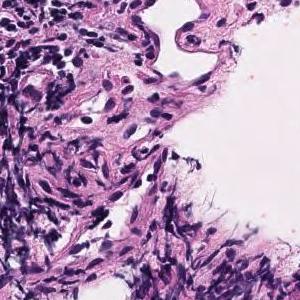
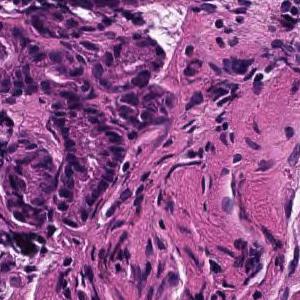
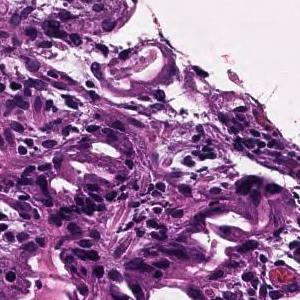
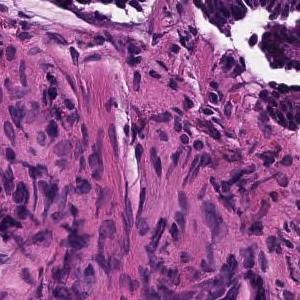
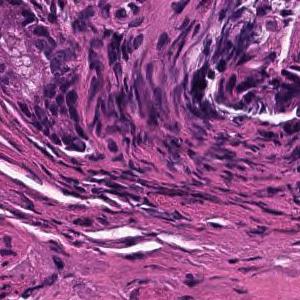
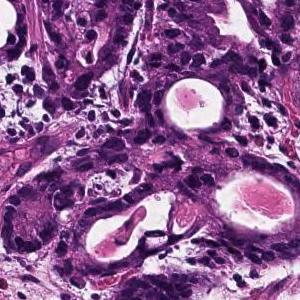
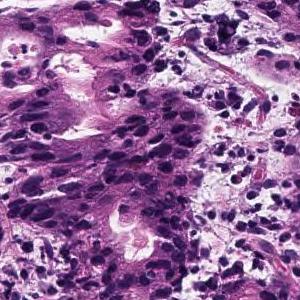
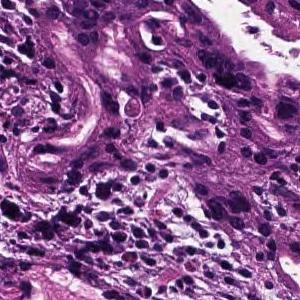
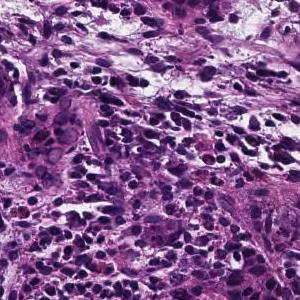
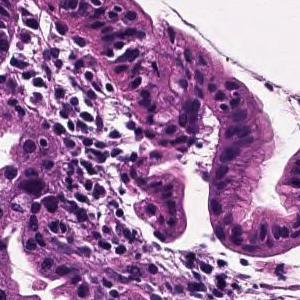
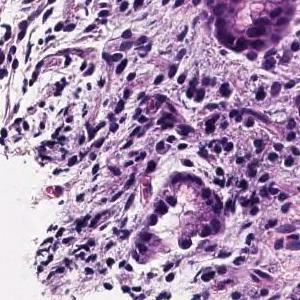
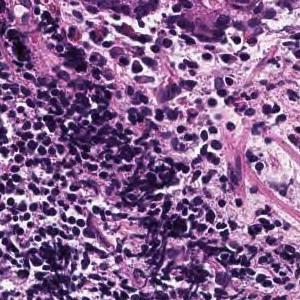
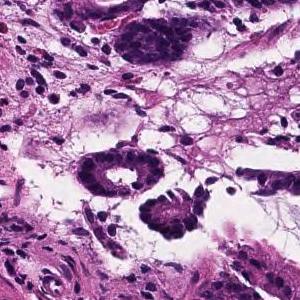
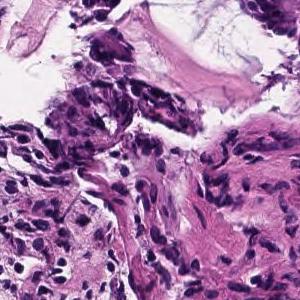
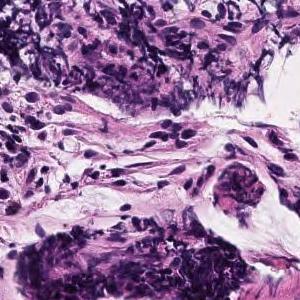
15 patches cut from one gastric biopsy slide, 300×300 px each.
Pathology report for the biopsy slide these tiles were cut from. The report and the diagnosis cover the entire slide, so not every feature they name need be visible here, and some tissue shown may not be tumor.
In the superficial epithelium, tumor tissue infiltrated by partial fusion of medium-sized to small, irregular glandular ducts is observed. moderately differentiated tubular adenocarcinoma
